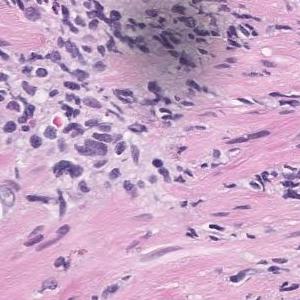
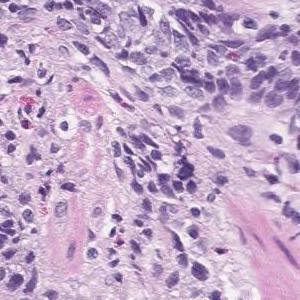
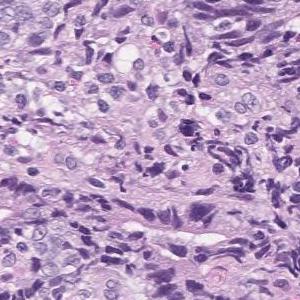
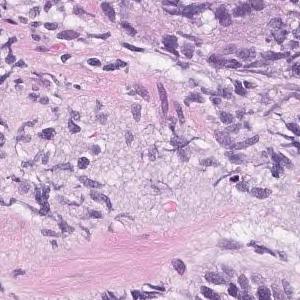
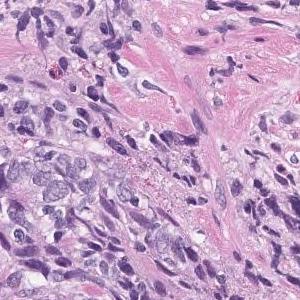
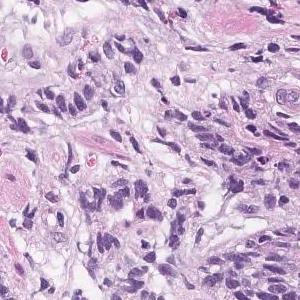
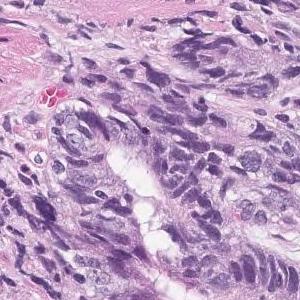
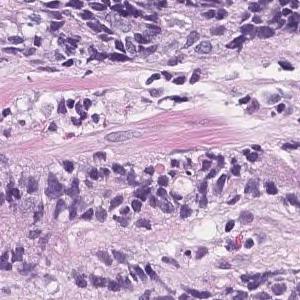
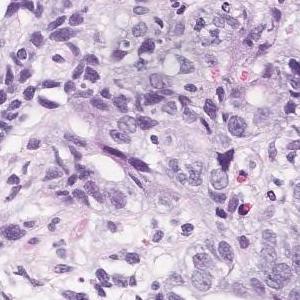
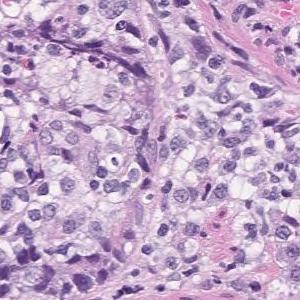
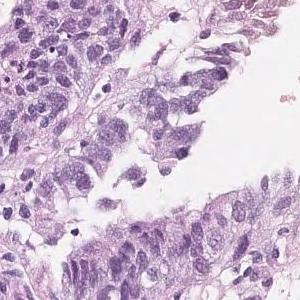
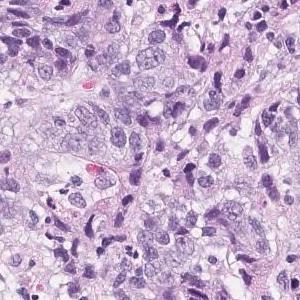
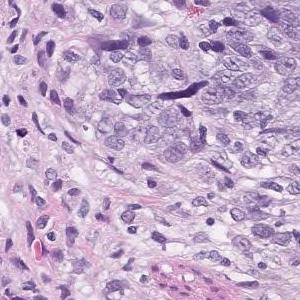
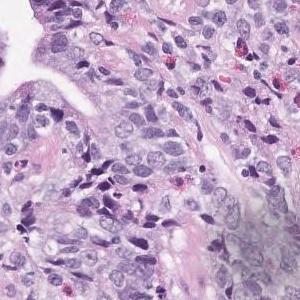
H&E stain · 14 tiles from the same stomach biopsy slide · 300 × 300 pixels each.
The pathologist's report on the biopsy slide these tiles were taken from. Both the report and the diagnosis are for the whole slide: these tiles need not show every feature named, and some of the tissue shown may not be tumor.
Highly columnar epithelium with disordered nuclear localization proliferates showing fusion ductal construction. moderately differentiated tubular adenocarcinoma
